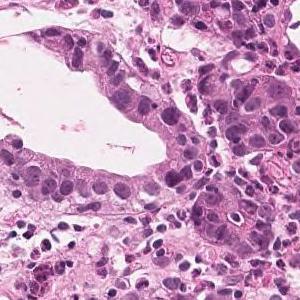
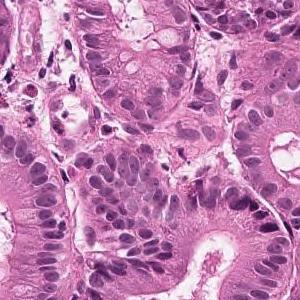
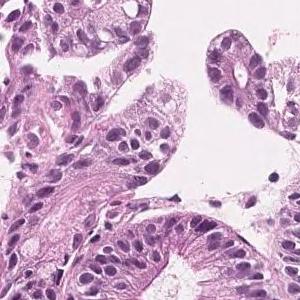
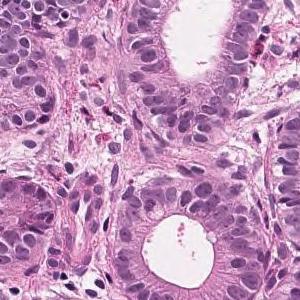
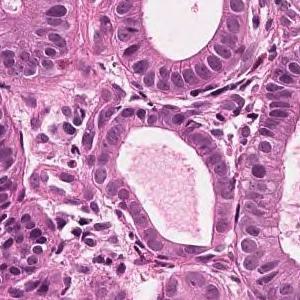
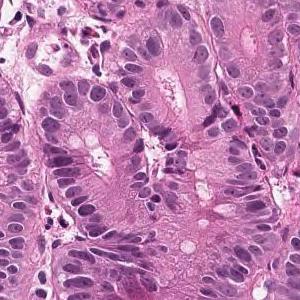
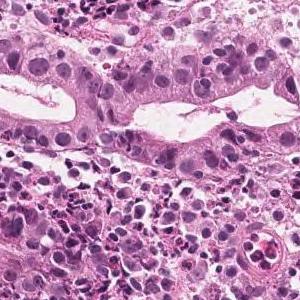
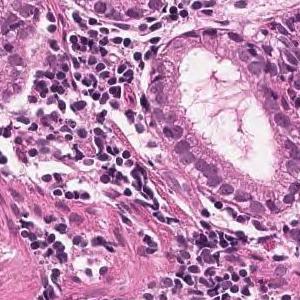
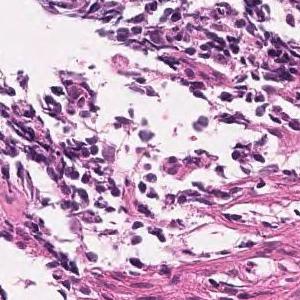
H&E · 9 tiles cut from one stomach biopsy slide · each 300 × 300 pixels.
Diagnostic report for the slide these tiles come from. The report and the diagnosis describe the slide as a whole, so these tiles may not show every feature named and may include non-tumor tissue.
On the superficial epithelium, tumor tissue consisting of large, irregular glandular ducts partially fused and infiltrated is observed. Well to moderately differentiated tubular adenocarcinoma (well differentiated tubular adenocarcinoma, moderately differentiated tubular adenocarcinoma)
Subtype: Well to moderately differentiated tubular adenocarcinoma.
